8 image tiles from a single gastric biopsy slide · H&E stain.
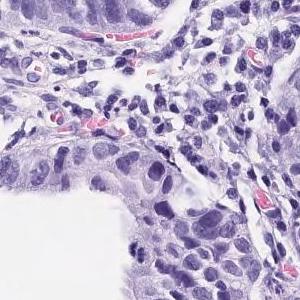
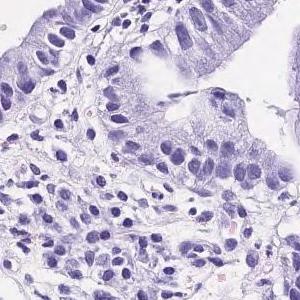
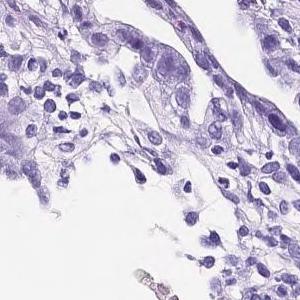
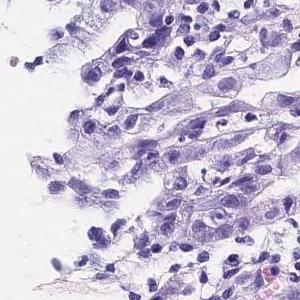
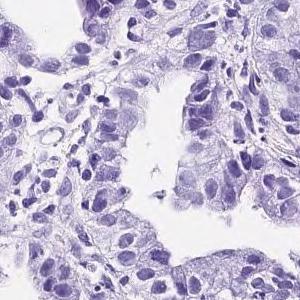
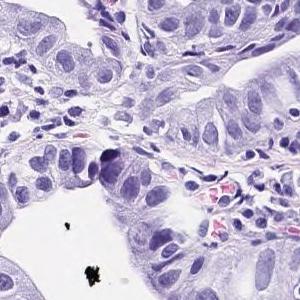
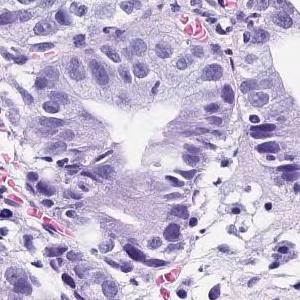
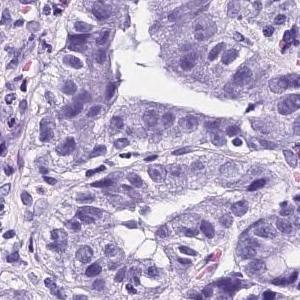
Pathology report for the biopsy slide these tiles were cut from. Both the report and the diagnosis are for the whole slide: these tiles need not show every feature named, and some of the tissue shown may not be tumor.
Tumor tissue consisting of medium-sized and irregular ducts is observed infiltrating in the superficial epithelium. Tumor cells are highly columnar, with nuclei aligned basolaterally and polarized. Well differentiated tubular adenocarcinoma.
